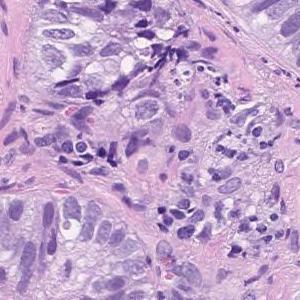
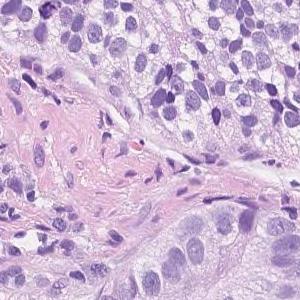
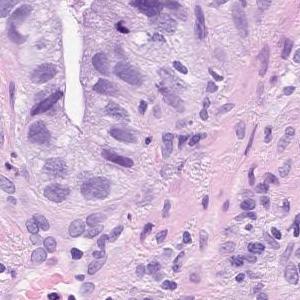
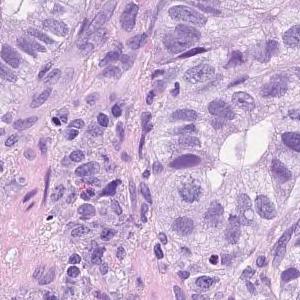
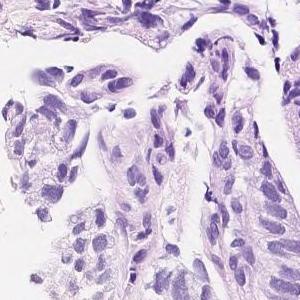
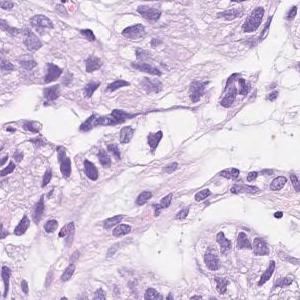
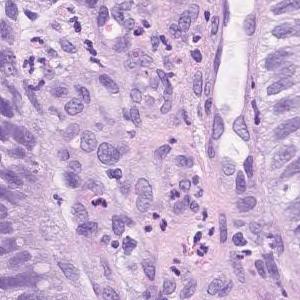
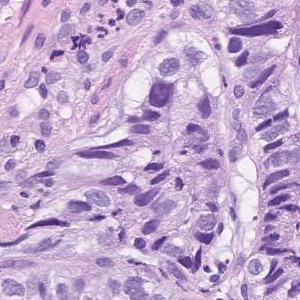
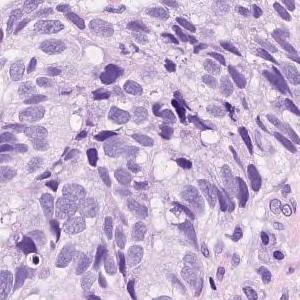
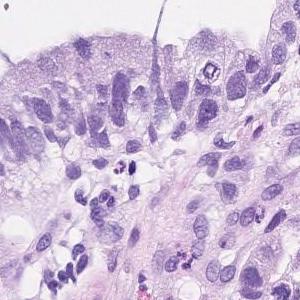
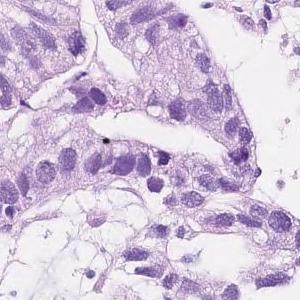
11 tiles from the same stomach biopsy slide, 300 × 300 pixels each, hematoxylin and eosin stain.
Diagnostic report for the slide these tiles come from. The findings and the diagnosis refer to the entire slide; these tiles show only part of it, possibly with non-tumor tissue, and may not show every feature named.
Atypical l cells with atypical nuclei forming solid or diffuse vesicles or small irregular atypical ducts and growing in a complex manner. moderately differentiated tubular adenocarcinoma
